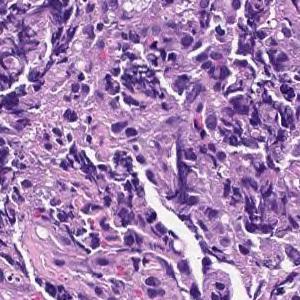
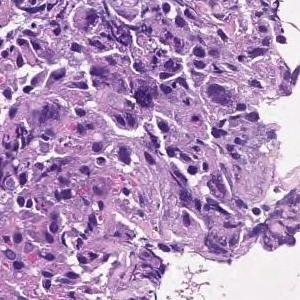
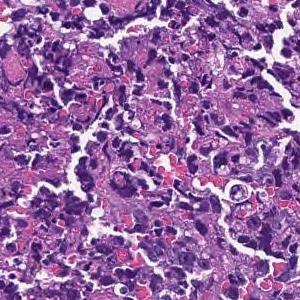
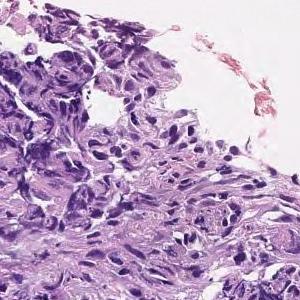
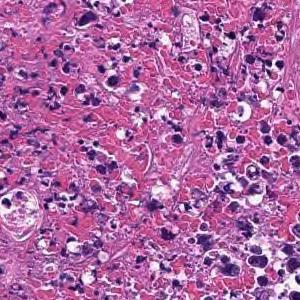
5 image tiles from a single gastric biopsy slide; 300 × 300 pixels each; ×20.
Diagnostic report for the slide these tiles come from. What the report and the diagnosis say applies to the whole slide; these tiles may miss some of the features named and may include tissue that is not tumor.
Most are composed of coagulative necrotic tissue, but some show a large sheet-like shape, and some show tumor tissue infiltrating with a small cord-like structure. Poorly differentiated adenocarcinoma, solid-type
Histological subtype: Poorly differentiated adenocarcinoma, solid type. This name comes from the Japanese Classification of Gastric Carcinoma; the WHO 2019 classification calls it tubular adenocarcinoma, poorly differentiated.
